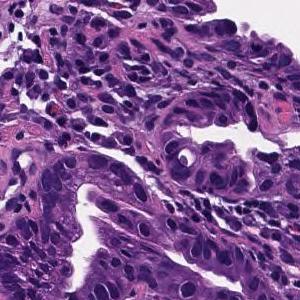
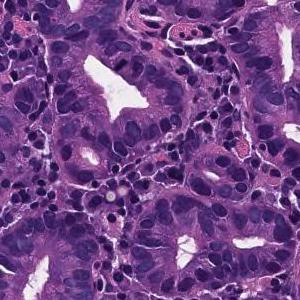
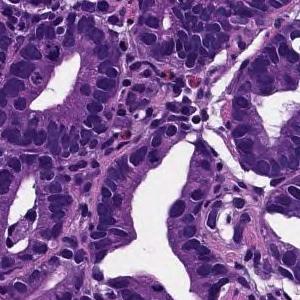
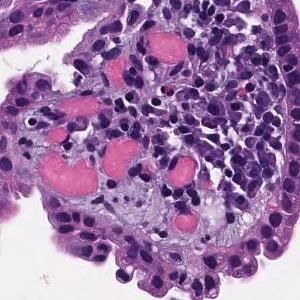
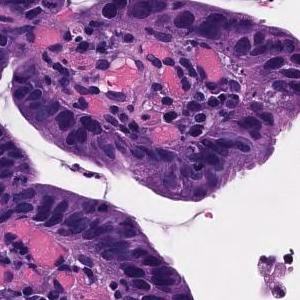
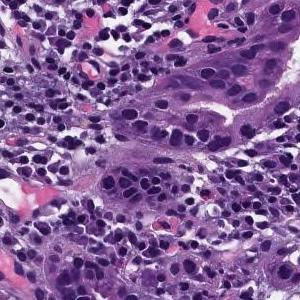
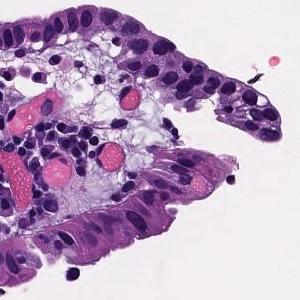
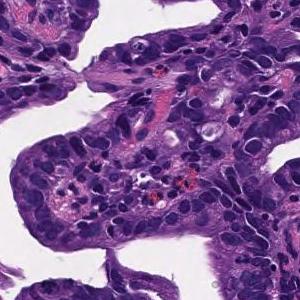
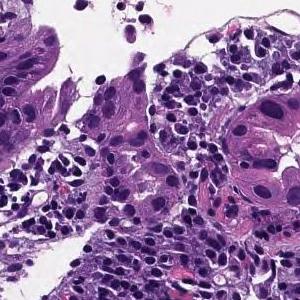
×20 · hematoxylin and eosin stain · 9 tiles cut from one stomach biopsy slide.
The pathologist's report on the biopsy slide these tiles were taken from. What the report and the diagnosis say applies to the whole slide; these tiles may miss some of the features named and may include tissue that is not tumor.
From the superficial epithelium to the muscularis mucosae, tumor tissue consisting of medium-sized and irregular glandular ducts infiltrating is observed. Well differentiated tubular adenocarcinoma
